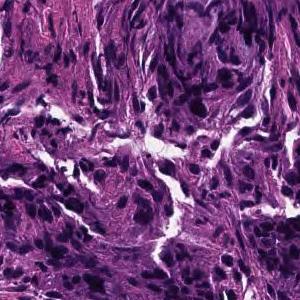
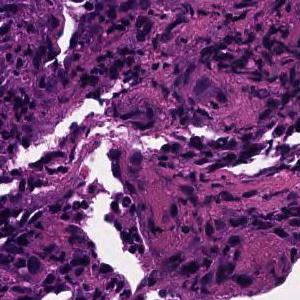
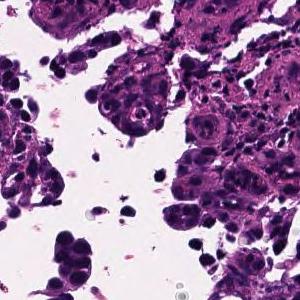
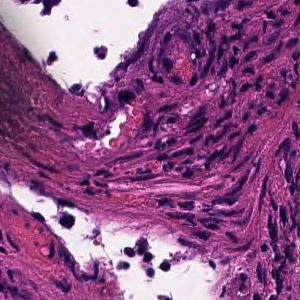
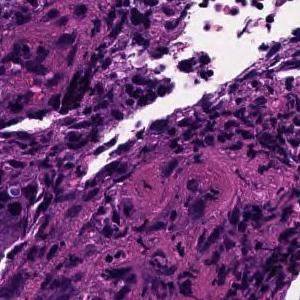
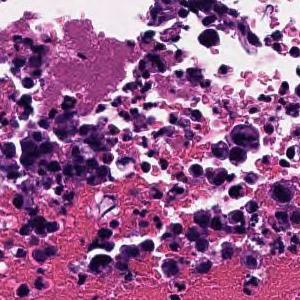
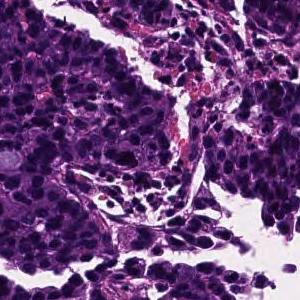
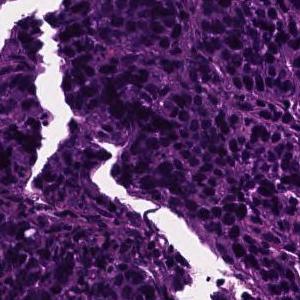
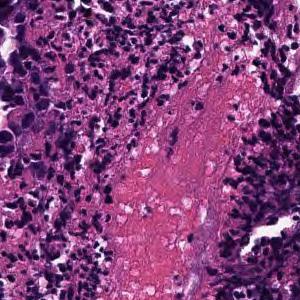
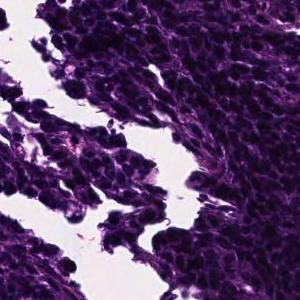
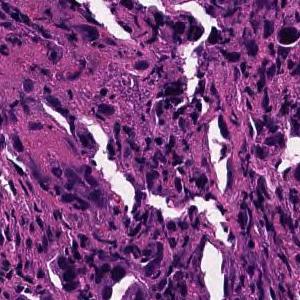
H&E · 11 tiles cut from one stomach biopsy slide · 300×300 px each.
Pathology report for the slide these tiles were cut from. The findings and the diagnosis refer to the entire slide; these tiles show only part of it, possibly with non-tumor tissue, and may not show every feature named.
In the superficial epithelium, tumor tissue that invades by forming medium-sized to small, irregular ducts is observed. moderately differentiated tubular adenocarcinoma.
